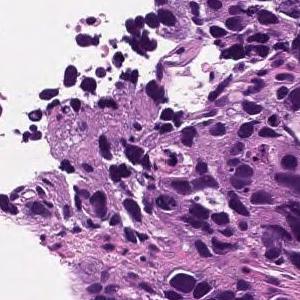
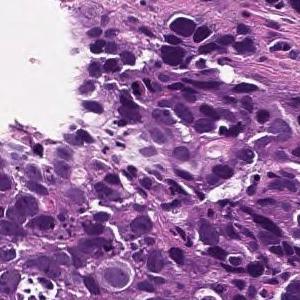
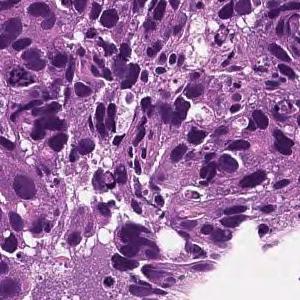
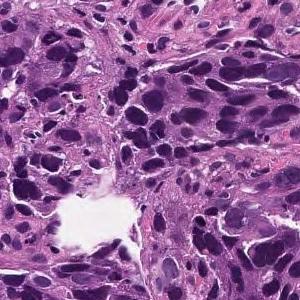
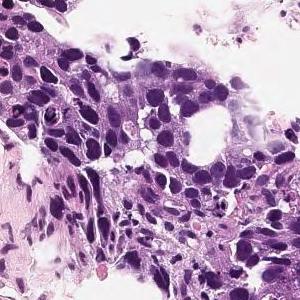
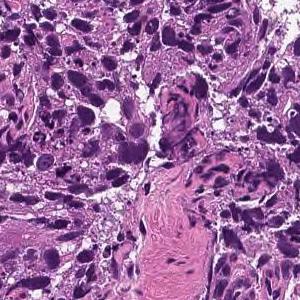
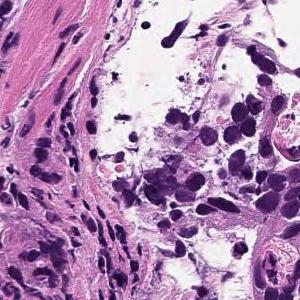
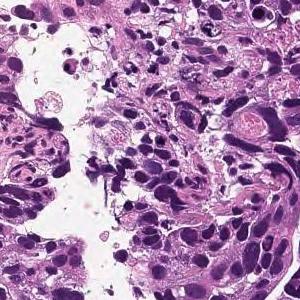
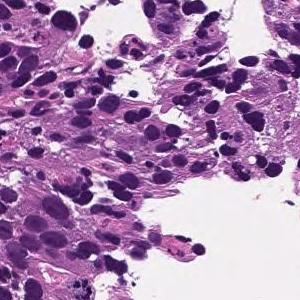
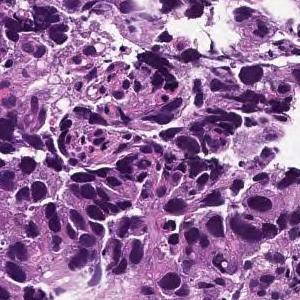
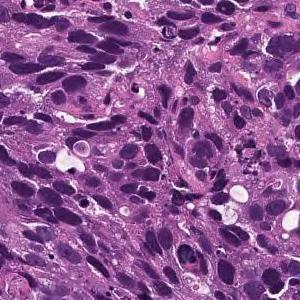
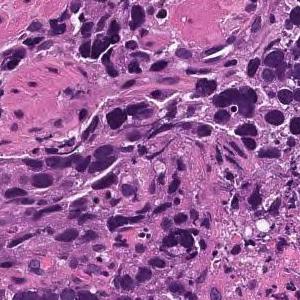
12 image tiles from a single gastric biopsy slide · scanned at ×20.
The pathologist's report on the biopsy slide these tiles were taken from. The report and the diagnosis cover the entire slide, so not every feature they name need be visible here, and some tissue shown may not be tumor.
Tumor cells are medium-sized polygonal with no extracellular mucus production or duct formation. Poorly differentiated adenocarcinoma, solid-type
Classified as poorly differentiated adenocarcinoma, solid type, a category of the Japanese Classification of Gastric Carcinoma; in the WHO 2019 classification it is tubular adenocarcinoma, poorly differentiated.
